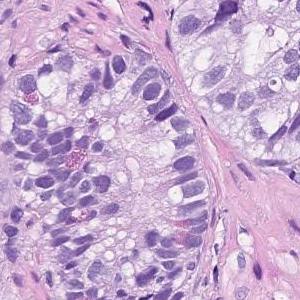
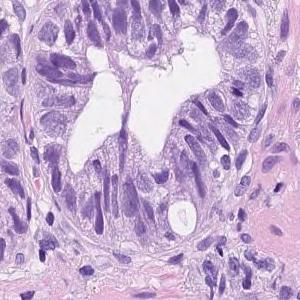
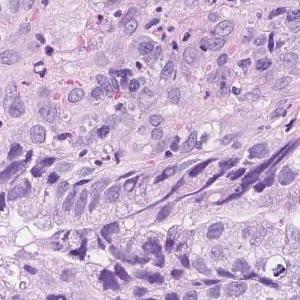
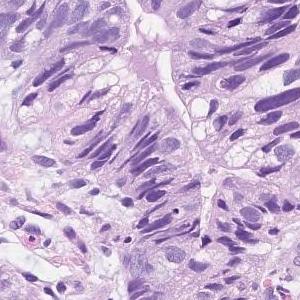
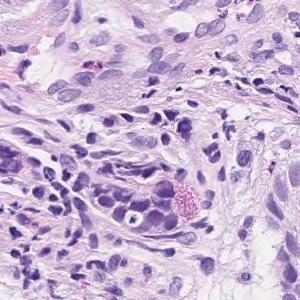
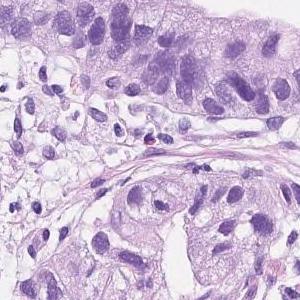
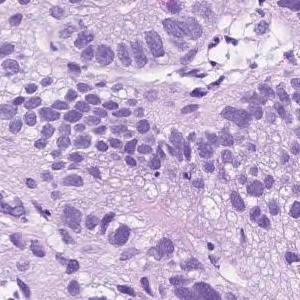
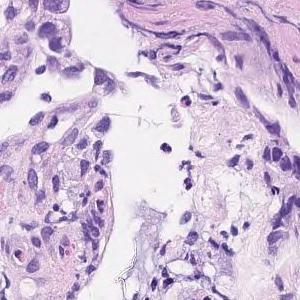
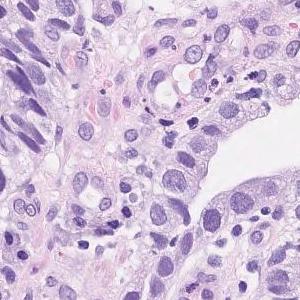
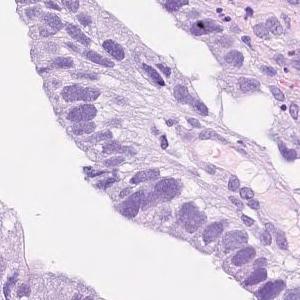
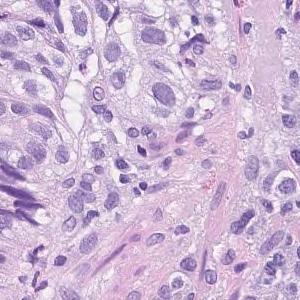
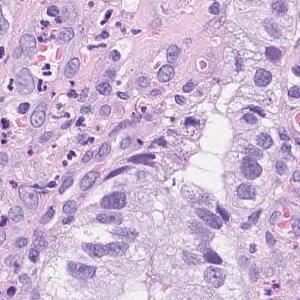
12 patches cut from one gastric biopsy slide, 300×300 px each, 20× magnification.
Pathology report for the slide these tiles were cut from. The findings and the diagnosis refer to the entire slide; these tiles show only part of it, possibly with non-tumor tissue, and may not show every feature named.
Atypical l cells with atypical nuclei forming solid or diffuse vesicles or small irregular atypical ducts and growing in a complex manner. moderately differentiated tubular adenocarcinoma
